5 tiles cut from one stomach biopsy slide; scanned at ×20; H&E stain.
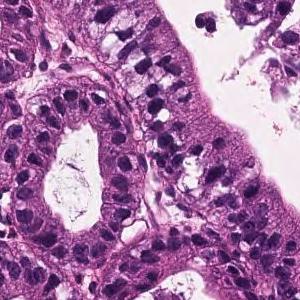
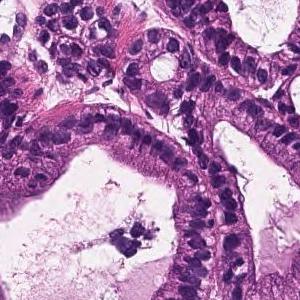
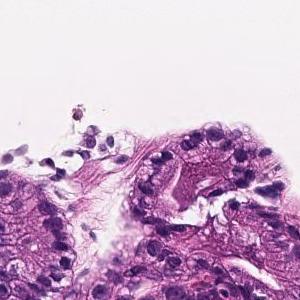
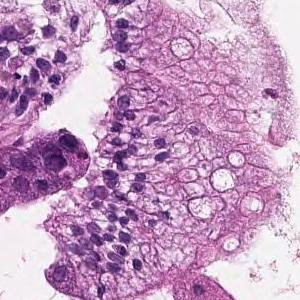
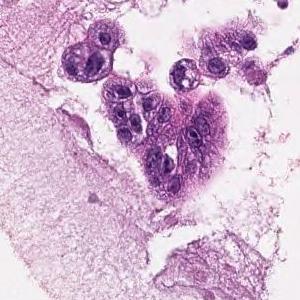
Report on the slide these tiles come from. The report and the diagnosis cover the entire slide, so not every feature they name need be visible here, and some tissue shown may not be tumor.
On the superficial epithelium, tumor tissue that infiltrates by forming medium-sized papillary or small irregular ducts is observed. Papillary adenocarcinoma
